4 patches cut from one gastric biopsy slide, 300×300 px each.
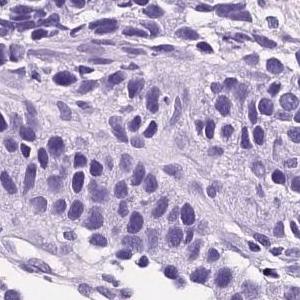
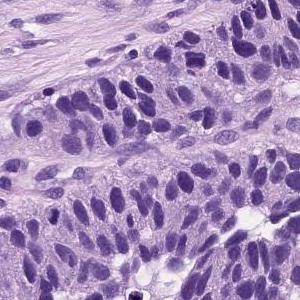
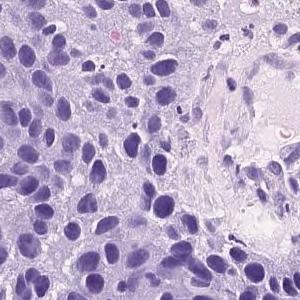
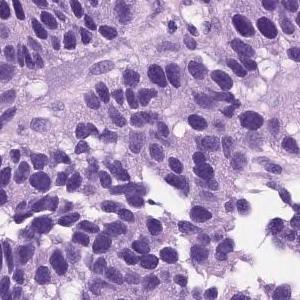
Pathology report for the slide these tiles were cut from. The report and the diagnosis cover the entire slide, so not every feature they name need be visible here, and some tissue shown may not be tumor.
Atypical cells with atypical nuclei forming small irregular atypical ducts and growing in a conformative manner. moderately differentiated tubular adenocarcinoma
Dataset label: moderately to poorly differentiated adenocarcinoma.
